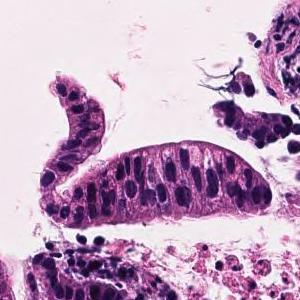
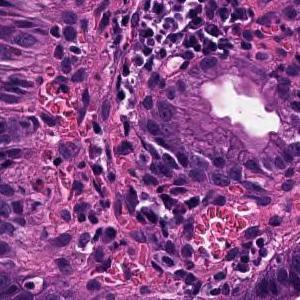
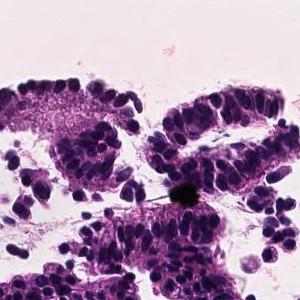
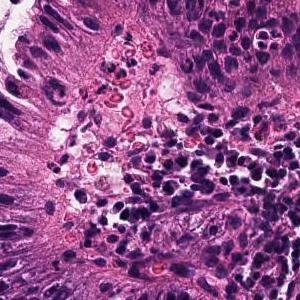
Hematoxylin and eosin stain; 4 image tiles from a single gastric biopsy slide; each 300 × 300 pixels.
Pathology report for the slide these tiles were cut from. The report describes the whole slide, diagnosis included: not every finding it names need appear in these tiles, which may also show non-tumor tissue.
Tumor cells are large, highly columnar, large club-shaped nuclei, and are associated with chromatin aggregation. Papillary adenocarcinoma.
